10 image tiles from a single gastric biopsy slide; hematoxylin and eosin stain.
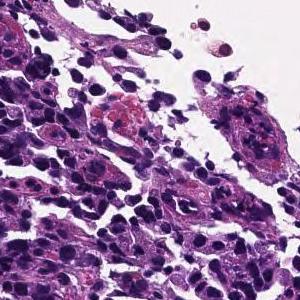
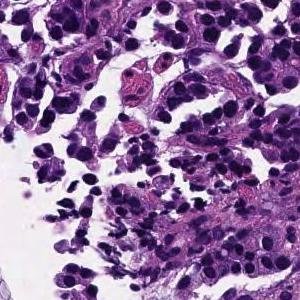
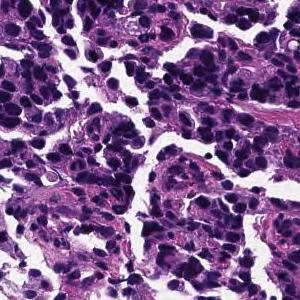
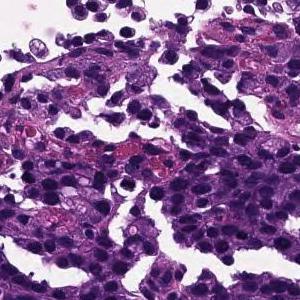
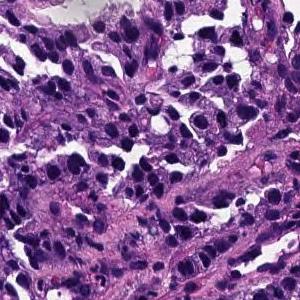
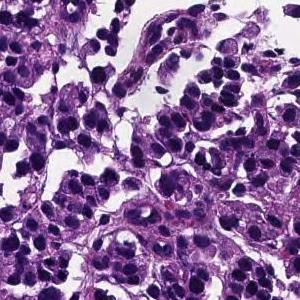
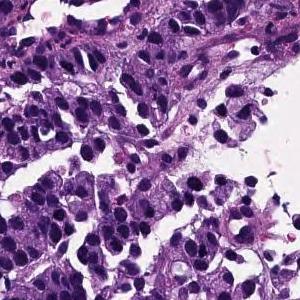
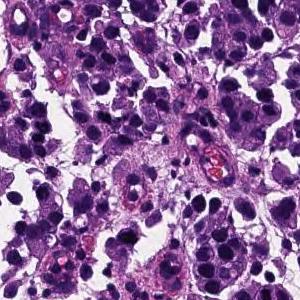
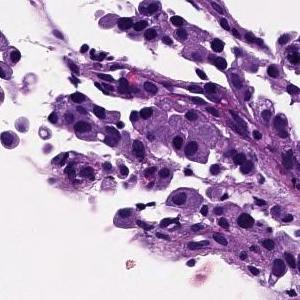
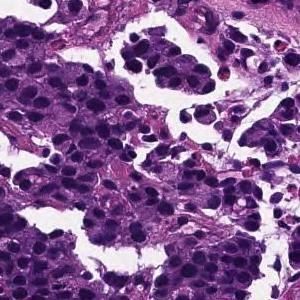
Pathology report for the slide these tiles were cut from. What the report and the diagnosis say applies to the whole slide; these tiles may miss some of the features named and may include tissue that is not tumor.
The superficial epithelium shows a large alveolar shape and infiltrates tumor tissue. Poorly differentiated adenocarcinoma, solid-type
Tumor subtype: poorly differentiated adenocarcinoma, solid type. This name comes from the Japanese Classification of Gastric Carcinoma; the WHO 2019 classification calls it tubular adenocarcinoma, poorly differentiated.
